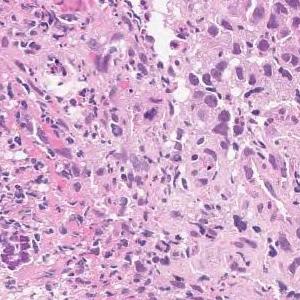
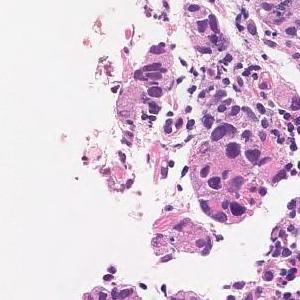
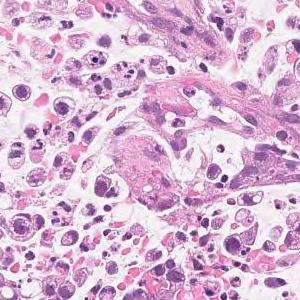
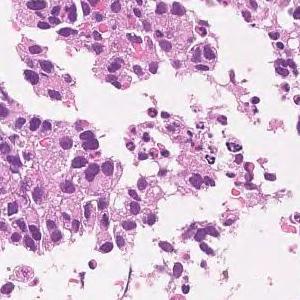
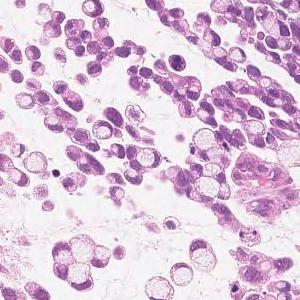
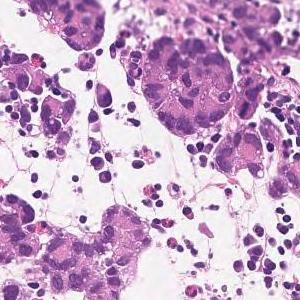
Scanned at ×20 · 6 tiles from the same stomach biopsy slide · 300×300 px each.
Pathology report for the slide these tiles were cut from. Both the report and the diagnosis are for the whole slide: these tiles need not show every feature named, and some of the tissue shown may not be tumor.
Medium to small, irregular glandular ducts are formed in the superficial epithelium, and in some cases, the glandular ducts are fused to show solid alveolar lesions and infiltrating tumor tissue is observed. Moderately to poorly differentiated adenocarcinoma.
